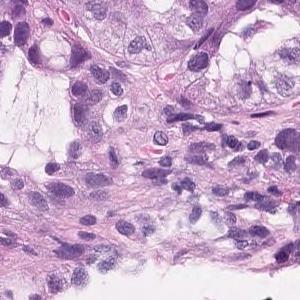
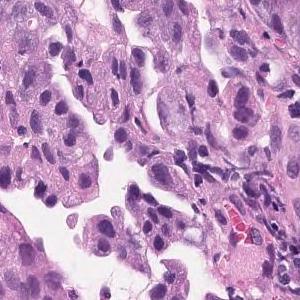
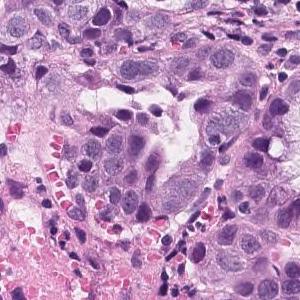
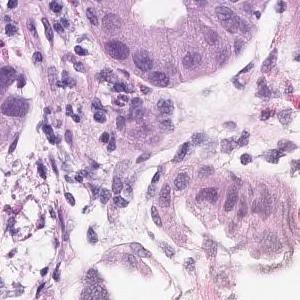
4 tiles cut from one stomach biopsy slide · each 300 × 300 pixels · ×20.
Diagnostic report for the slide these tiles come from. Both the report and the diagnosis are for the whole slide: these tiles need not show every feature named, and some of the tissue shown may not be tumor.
Tumor tissue consisting of medium-sized and irregular ducts is observed infiltrating in the superficial epithelium. Tumor cells are highly columnar, with nuclei aligned basolaterally and polarized. Well differentiated tubular adenocarcinoma.
